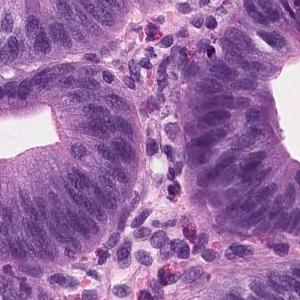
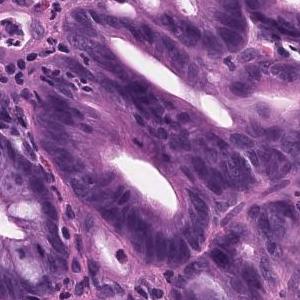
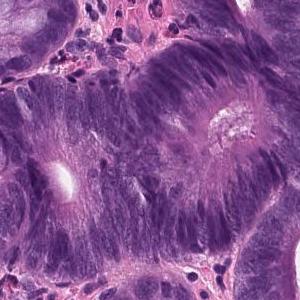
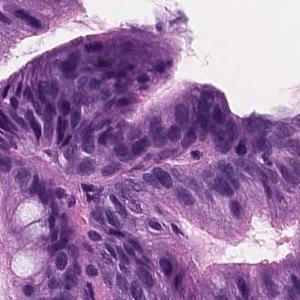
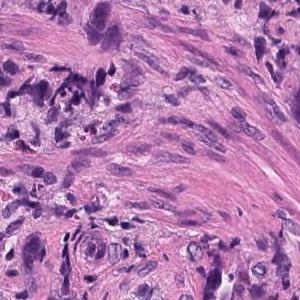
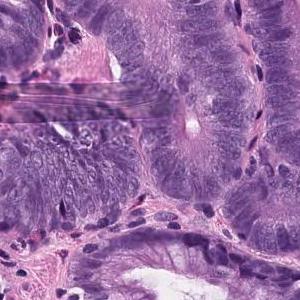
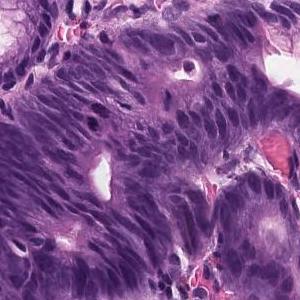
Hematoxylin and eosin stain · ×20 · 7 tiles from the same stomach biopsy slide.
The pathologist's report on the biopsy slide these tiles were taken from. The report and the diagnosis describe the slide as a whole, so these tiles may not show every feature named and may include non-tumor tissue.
On the superficial epithelium, tumor tissue with densely growing medium to large, round tubules is observed. Tumor cells are highly columnar, with nuclei aligned basolaterally and polarized. Well differentiated tubular adenocarcinoma
